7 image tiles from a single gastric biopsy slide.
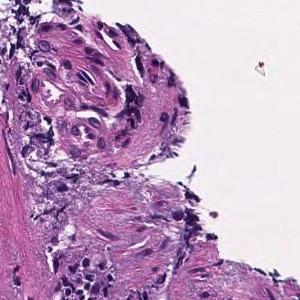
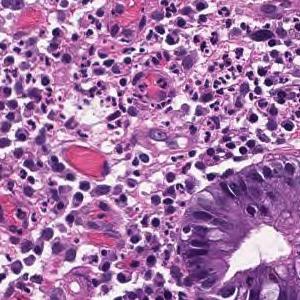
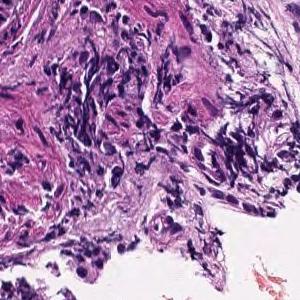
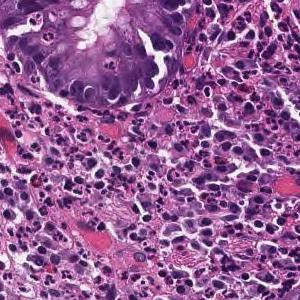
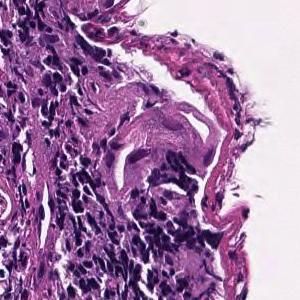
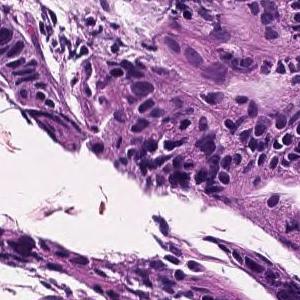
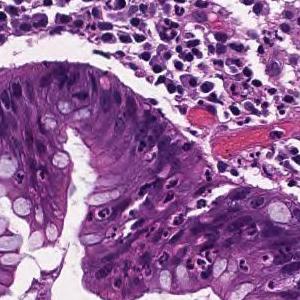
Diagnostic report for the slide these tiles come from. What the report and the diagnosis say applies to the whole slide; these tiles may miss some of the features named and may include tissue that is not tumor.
On the superficial epithelium, tumor tissue consisting of large, irregular glandular ducts partially fused and infiltrated is observed. Well to moderately differentiated tubular adenocarcinoma (well differentiated tubular adenocarcinoma, moderately differentiated tubular adenocarcinoma)
Subtype: Well to moderately differentiated tubular adenocarcinoma.
